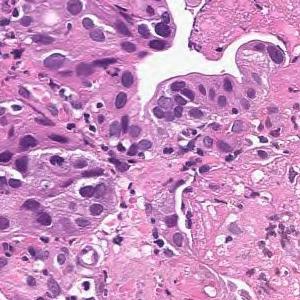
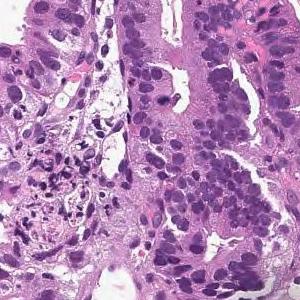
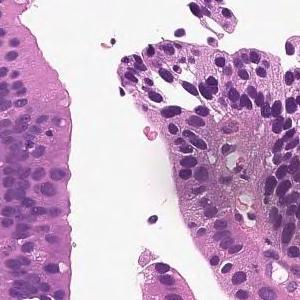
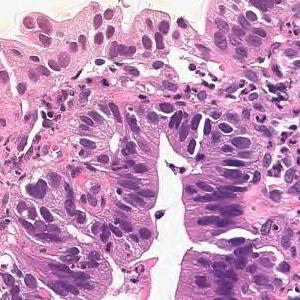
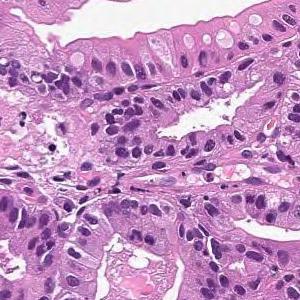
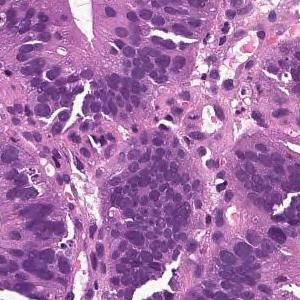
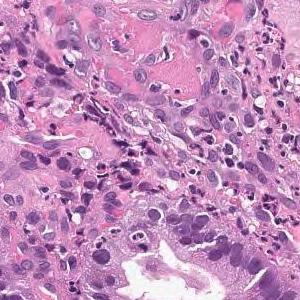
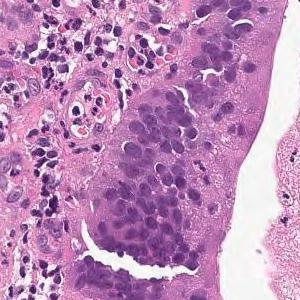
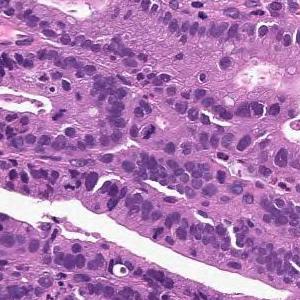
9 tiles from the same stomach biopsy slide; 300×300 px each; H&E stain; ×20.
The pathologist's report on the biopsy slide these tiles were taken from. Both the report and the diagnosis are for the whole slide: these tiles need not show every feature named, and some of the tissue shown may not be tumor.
From the superficial epithelium to the muscularis mucosae, tumor tissue consisting of medium-sized and irregular glandular ducts infiltrating is observed. Well differentiated tubular adenocarcinoma
